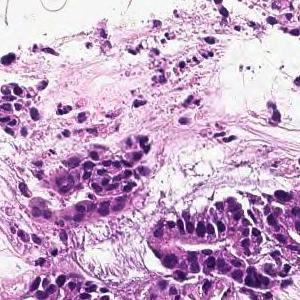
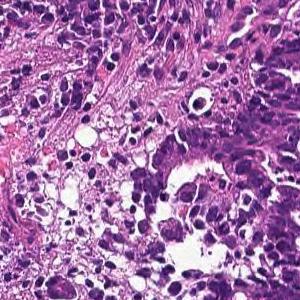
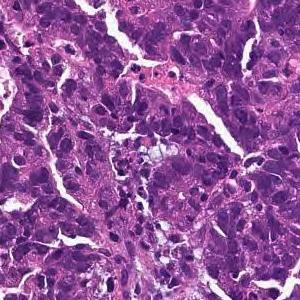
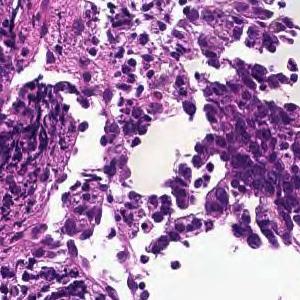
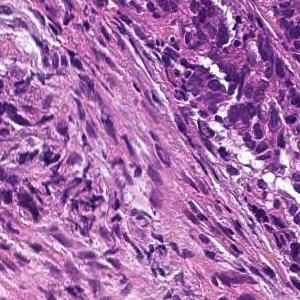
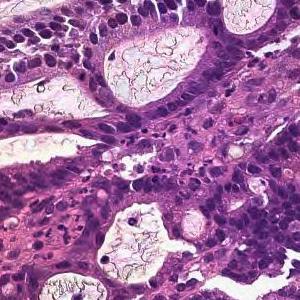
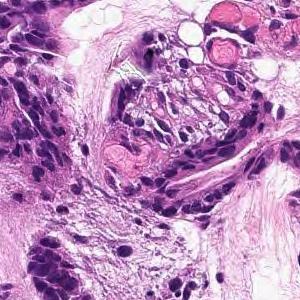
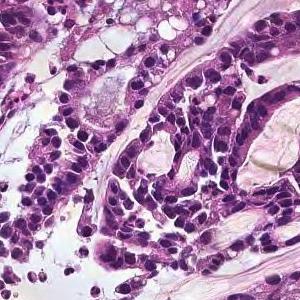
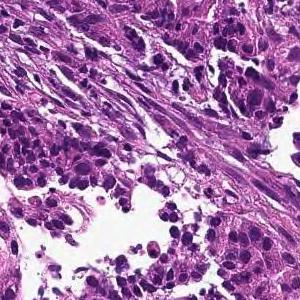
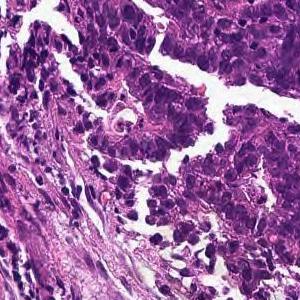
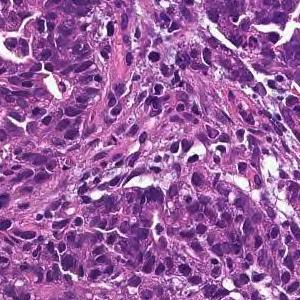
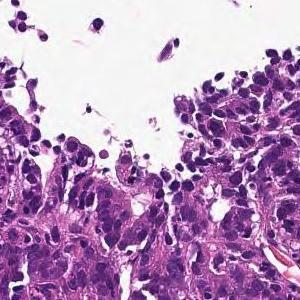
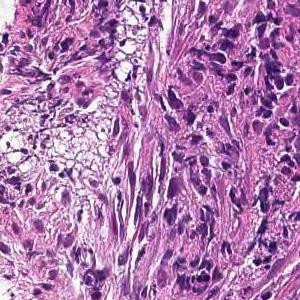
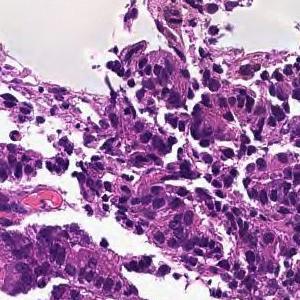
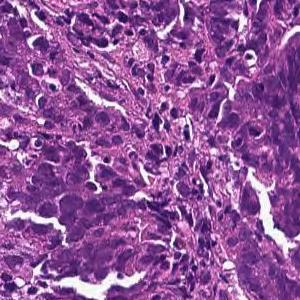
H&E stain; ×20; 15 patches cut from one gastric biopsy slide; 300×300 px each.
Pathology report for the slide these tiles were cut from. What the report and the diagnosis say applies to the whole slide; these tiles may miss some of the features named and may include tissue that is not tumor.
In the superficial epithelium, tumor tissue that invades by forming medium-sized to small, irregular ducts is observed. moderately differentiated tubular adenocarcinoma.
